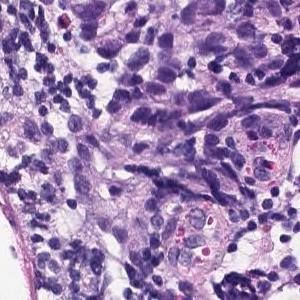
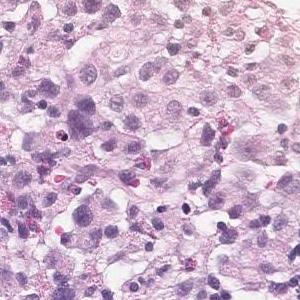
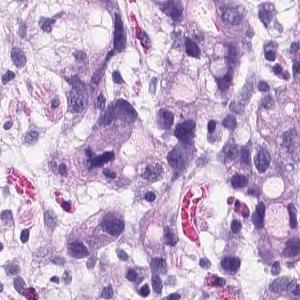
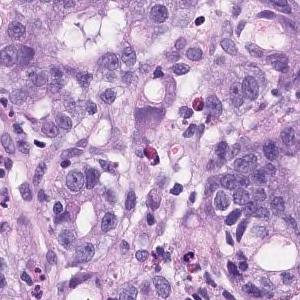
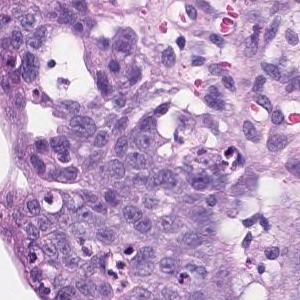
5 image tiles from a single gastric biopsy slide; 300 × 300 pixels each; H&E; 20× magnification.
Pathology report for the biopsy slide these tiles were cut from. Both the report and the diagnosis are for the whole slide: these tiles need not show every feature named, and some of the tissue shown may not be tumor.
There are atypical l cells with atypical nuclei forming cord-like or irregular atypical ducts from solidity and proliferating in a comprehensive manner. Poorly differentiated adenocarcinoma, Moderately differentiated adenocarcinoma (poorly differentiated adenocarcinoma, solid type moderately differentiated tubular adenocarcinoma)
Histologic type: Moderately to poorly differentiated adenocarcinoma.
The solid type named here is a Japanese Classification of Gastric Carcinoma category; WHO 2019 calls it tubular adenocarcinoma, poorly differentiated.
